Hematoxylin and eosin stain; 20× magnification; 5 image tiles from a single gastric biopsy slide; each 300 × 300 pixels.
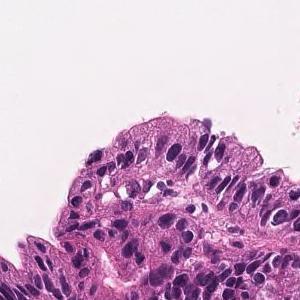
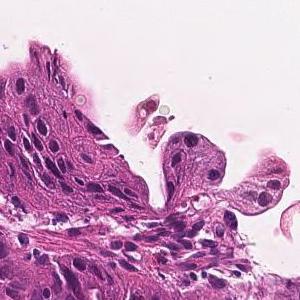
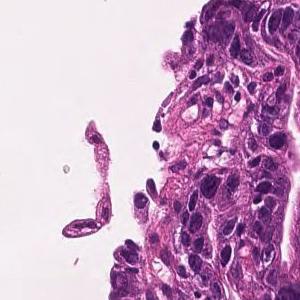
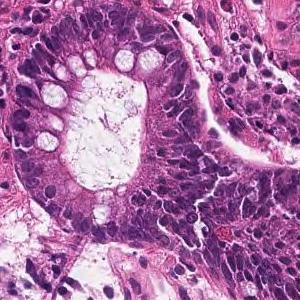
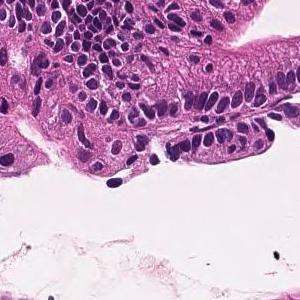
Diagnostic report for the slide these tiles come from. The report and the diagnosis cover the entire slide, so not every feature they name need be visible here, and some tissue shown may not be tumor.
In the superficial epithelium, tumor tissue that invades by forming medium-sized to small, irregular ducts is observed. moderately differentiated tubular adenocarcinoma.
